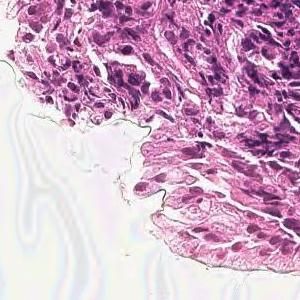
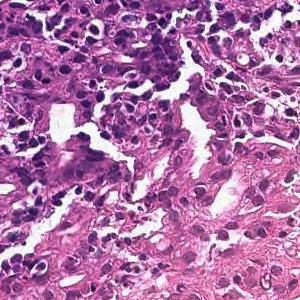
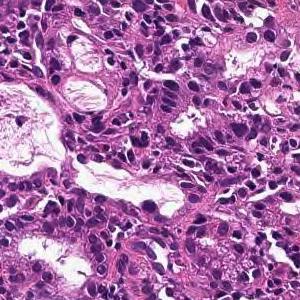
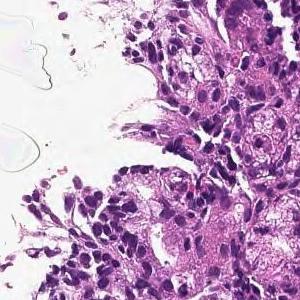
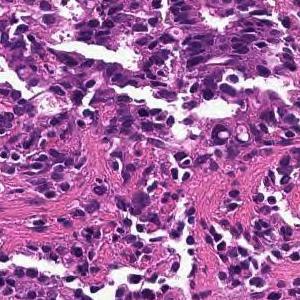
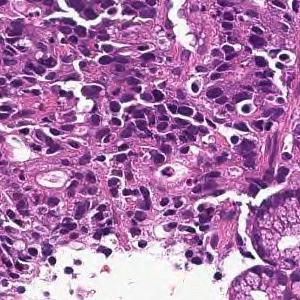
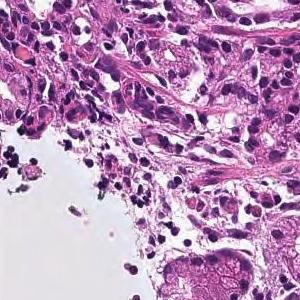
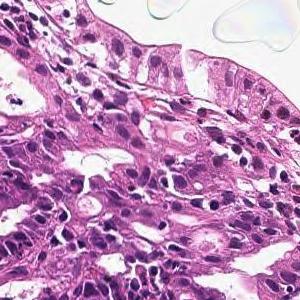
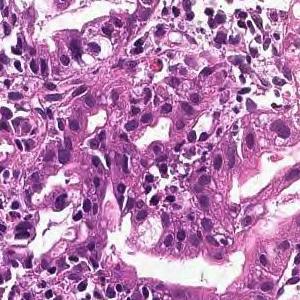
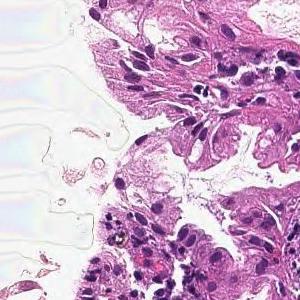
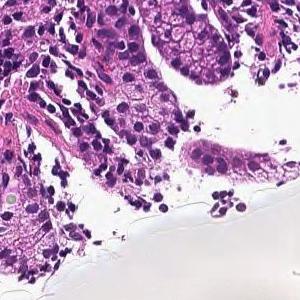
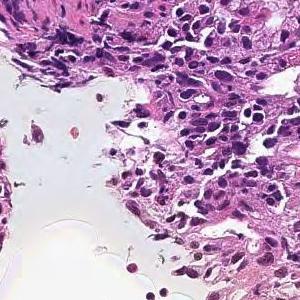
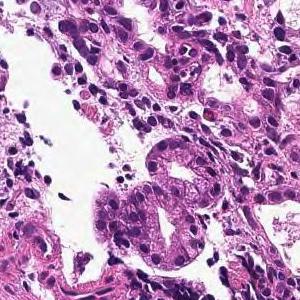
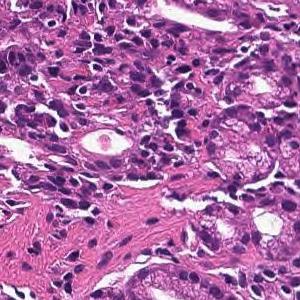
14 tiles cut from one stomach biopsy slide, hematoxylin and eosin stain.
Pathology report for the slide these tiles were cut from. The report and the diagnosis cover the entire slide, so not every feature they name need be visible here, and some tissue shown may not be tumor.
In the superficial epithelium, tumor tissue that invades by forming medium-sized to small, irregular ducts is observed. moderately differentiated tubular adenocarcinoma.
